14 image tiles from a single gastric biopsy slide, 300×300 px each, ×20.
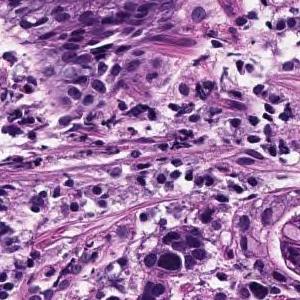
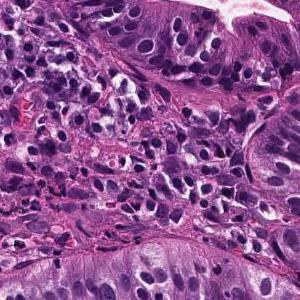
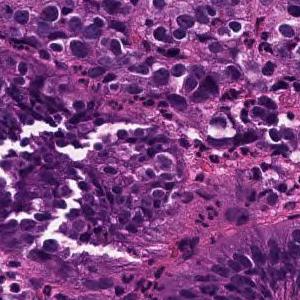
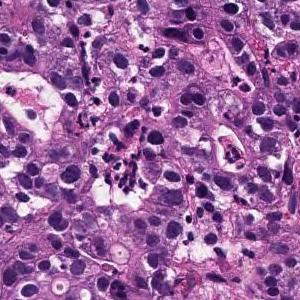
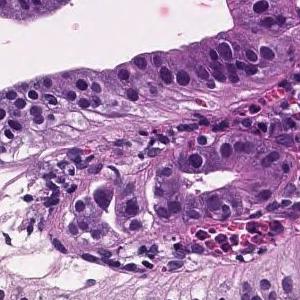
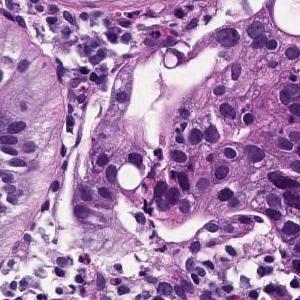
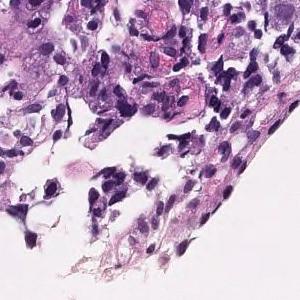
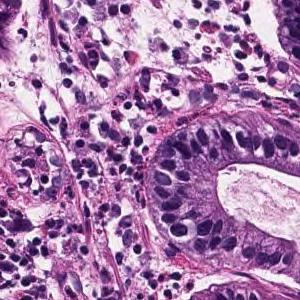
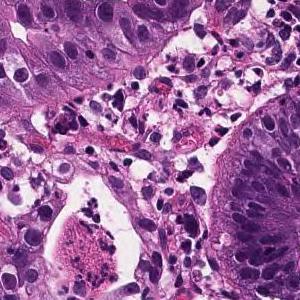
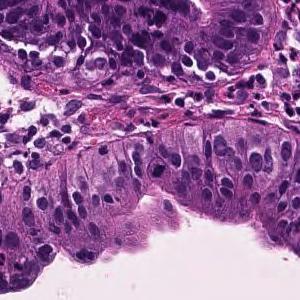
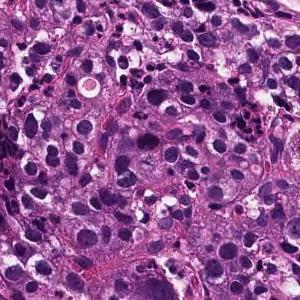
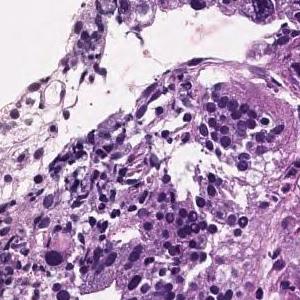
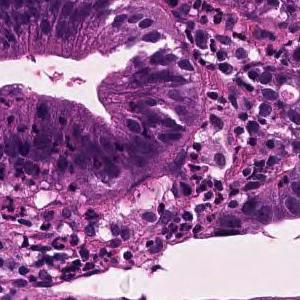
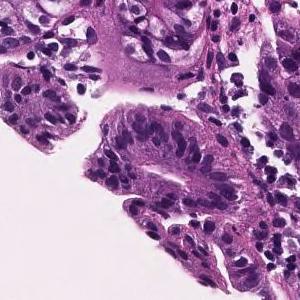
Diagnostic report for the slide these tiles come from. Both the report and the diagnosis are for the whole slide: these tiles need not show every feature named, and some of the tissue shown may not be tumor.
In the superficial epithelium, tumor tissue that invades by forming medium-sized to small, irregular ducts is observed. moderately differentiated tubular adenocarcinoma.
